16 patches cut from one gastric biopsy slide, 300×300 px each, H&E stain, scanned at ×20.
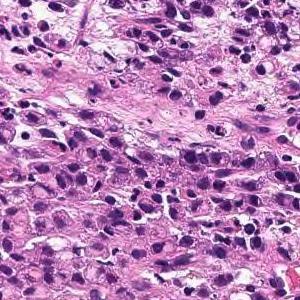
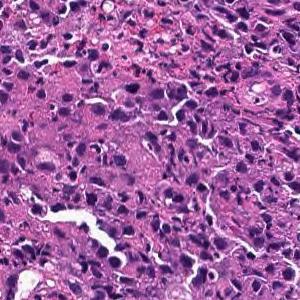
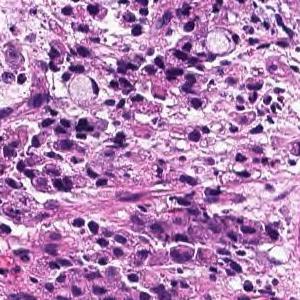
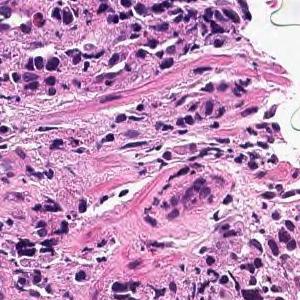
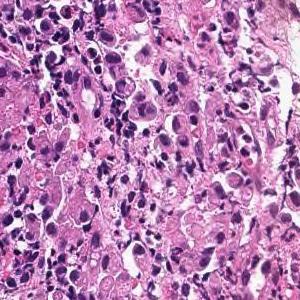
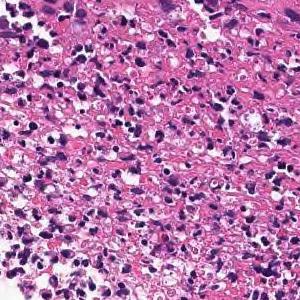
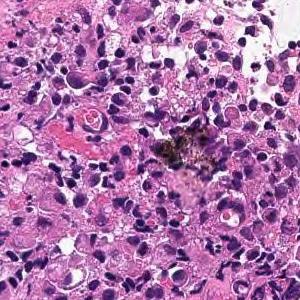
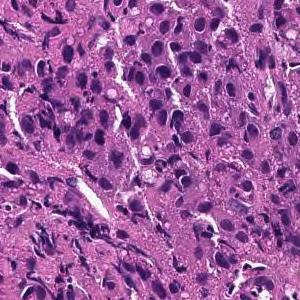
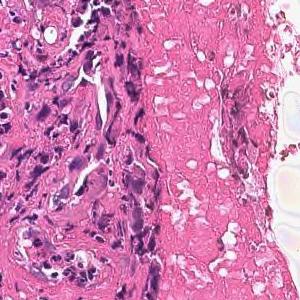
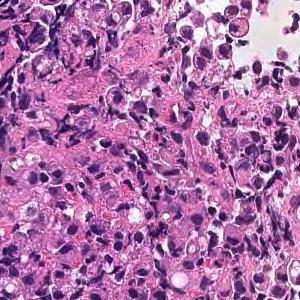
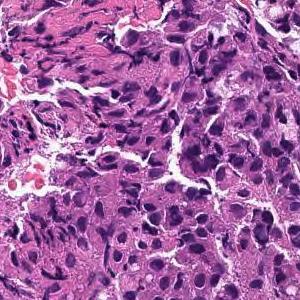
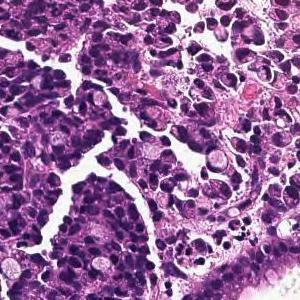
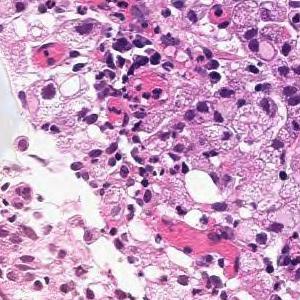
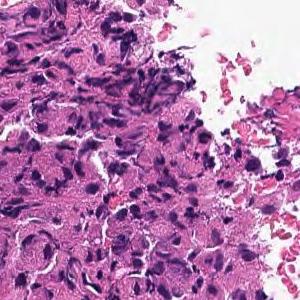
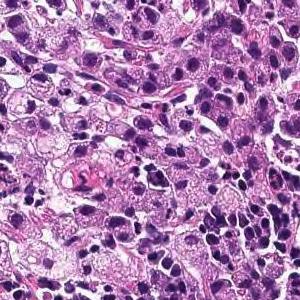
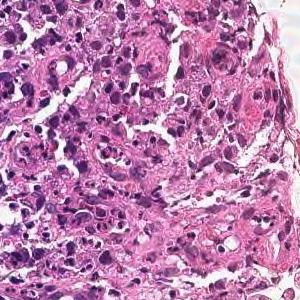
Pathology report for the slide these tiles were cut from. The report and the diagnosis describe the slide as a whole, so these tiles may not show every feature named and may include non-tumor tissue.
Tumor tissue consisting of diffusely infiltrated large atypical epithelial cells or signet ring atypical cells is observed in the superficial epithelium. Poorly differentiated adenocarcinoma, solid-type
Histologic type: Poorly differentiated adenocarcinoma, solid type (Japanese Classification of Gastric Carcinoma). The WHO 2019 equivalent is tubular adenocarcinoma, poorly differentiated.
